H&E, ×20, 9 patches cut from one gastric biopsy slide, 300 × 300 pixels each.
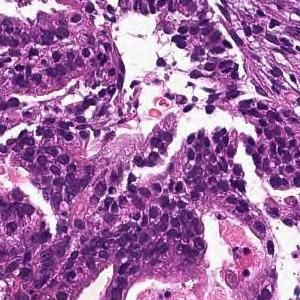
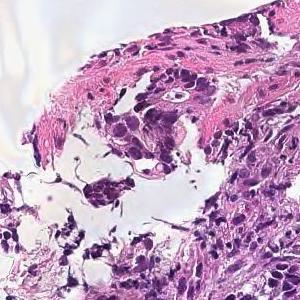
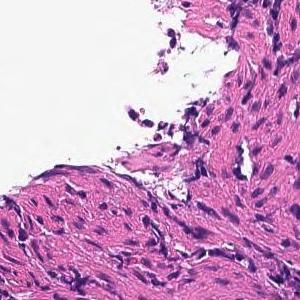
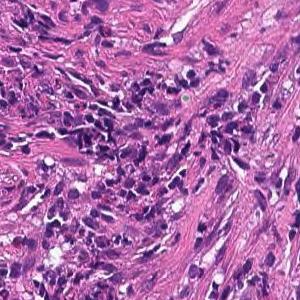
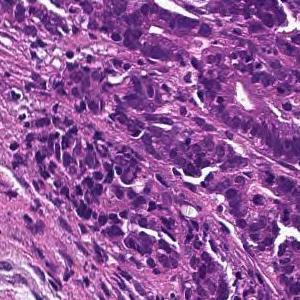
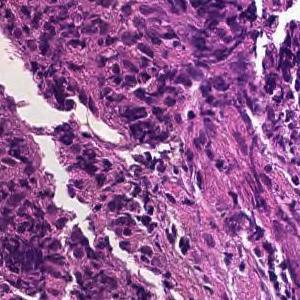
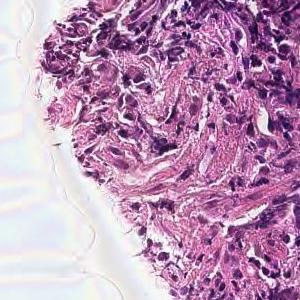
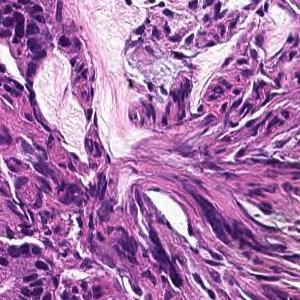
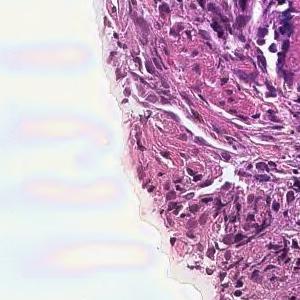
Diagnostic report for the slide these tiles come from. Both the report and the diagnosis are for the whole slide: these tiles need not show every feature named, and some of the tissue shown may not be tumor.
In the superficial epithelium, tumor tissue that invades by forming medium-sized to small, irregular ducts is observed. moderately differentiated tubular adenocarcinoma.
